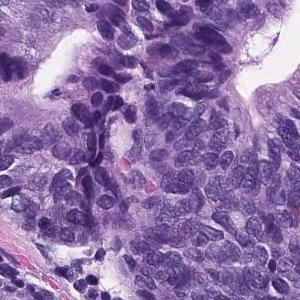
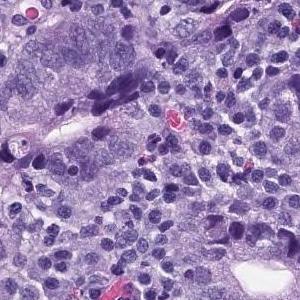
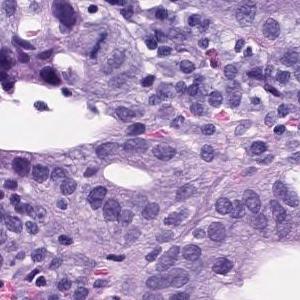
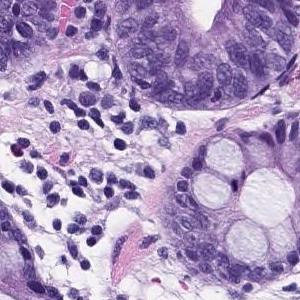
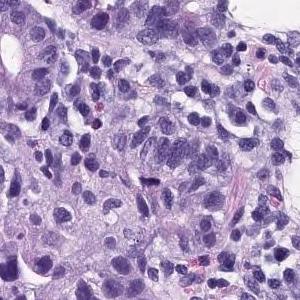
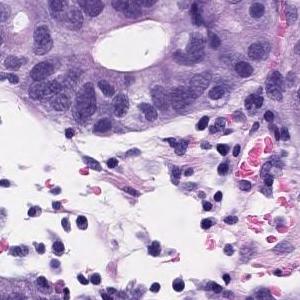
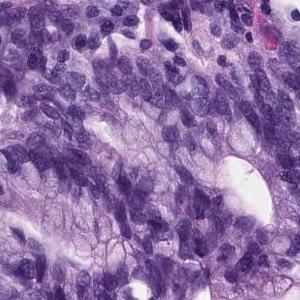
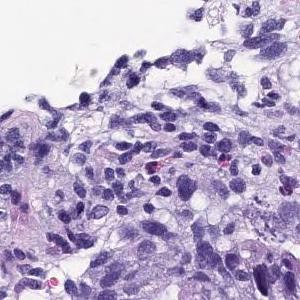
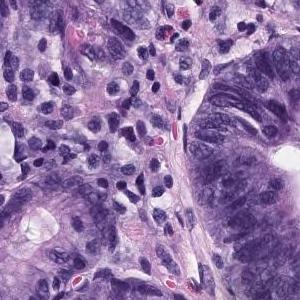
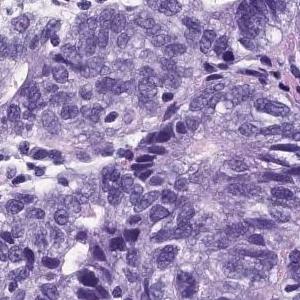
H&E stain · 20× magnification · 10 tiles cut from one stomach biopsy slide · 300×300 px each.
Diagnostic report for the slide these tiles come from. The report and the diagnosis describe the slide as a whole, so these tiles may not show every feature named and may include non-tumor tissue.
In the superficial epithelium, tumor tissue that invades by forming medium-sized to small, irregular ducts is observed. Moderately differentiated adenocarcinoma.
Classified as moderately differentiated tubular adenocarcinoma.
